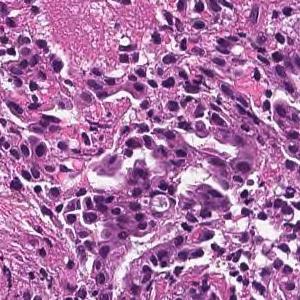
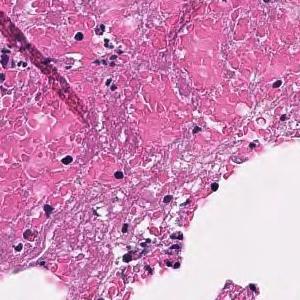
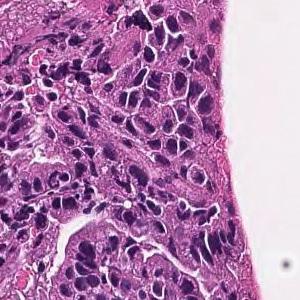
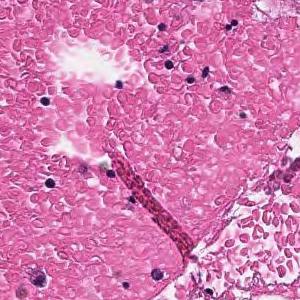
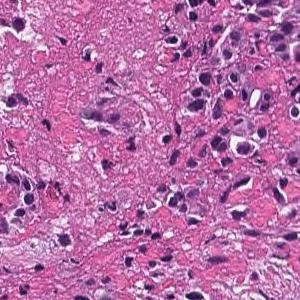
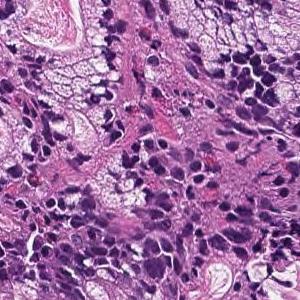
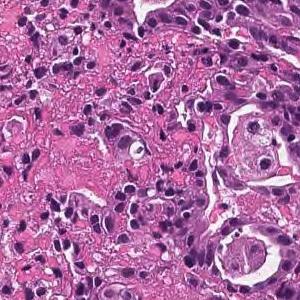
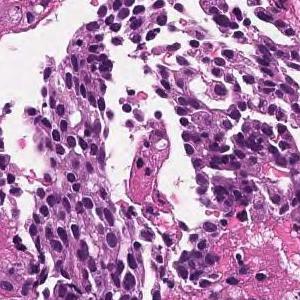
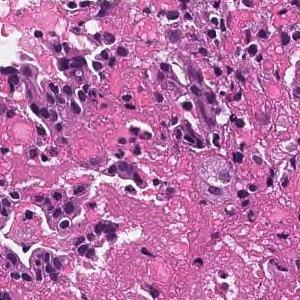
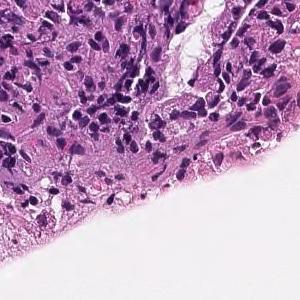
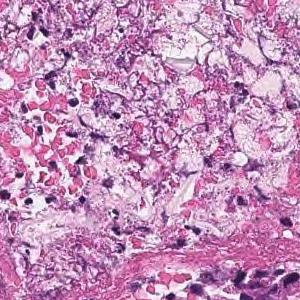
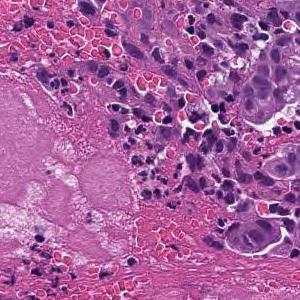
Scanned at ×20 · H&E · 12 tiles cut from one stomach biopsy slide · each 300 × 300 pixels.
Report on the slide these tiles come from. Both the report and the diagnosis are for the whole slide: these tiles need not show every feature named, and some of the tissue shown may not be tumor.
On the superficial epithelium, tumor tissue that infiltrates by forming medium-sized papillary or small irregular ducts is observed. Papillary adenocarcinoma
